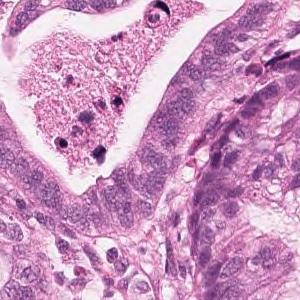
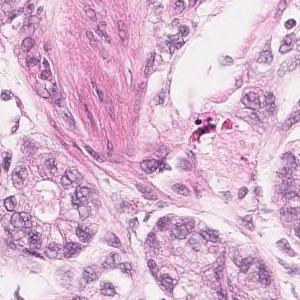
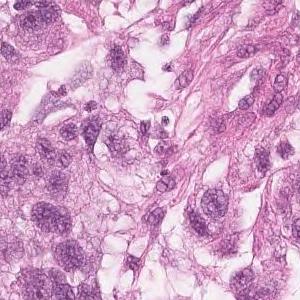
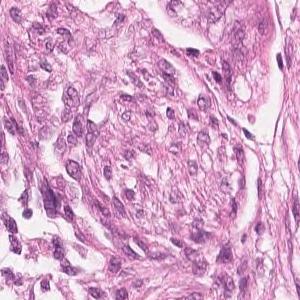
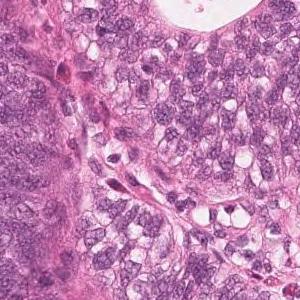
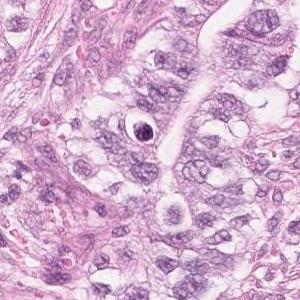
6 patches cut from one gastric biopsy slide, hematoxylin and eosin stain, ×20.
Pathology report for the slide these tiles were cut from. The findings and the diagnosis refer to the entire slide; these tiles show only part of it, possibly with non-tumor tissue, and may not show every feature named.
Highly columnar epithelium with disordered nuclear localization proliferates showing fusion ductal construction. moderately differentiated tubular adenocarcinoma
